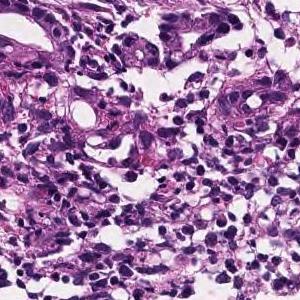
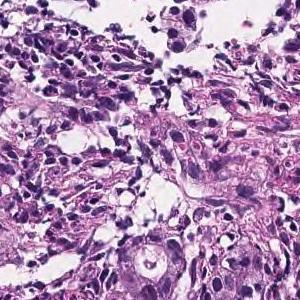
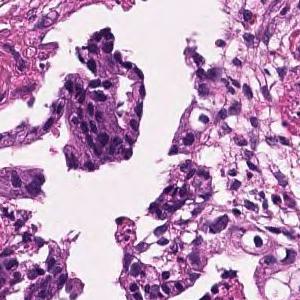
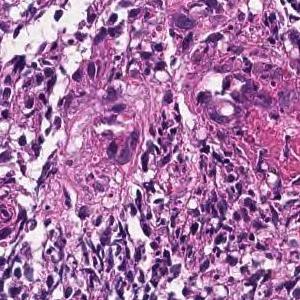
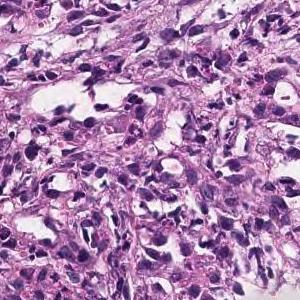
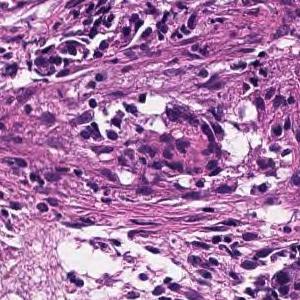
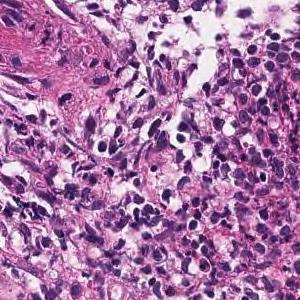
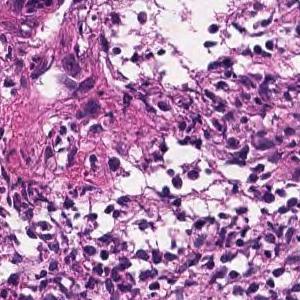
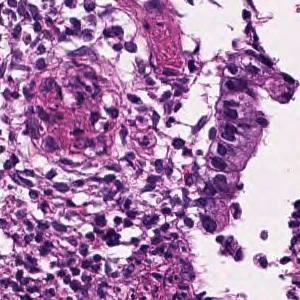
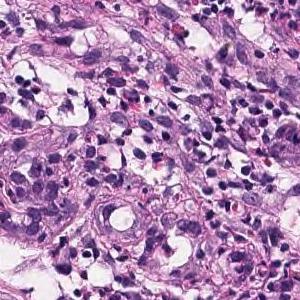
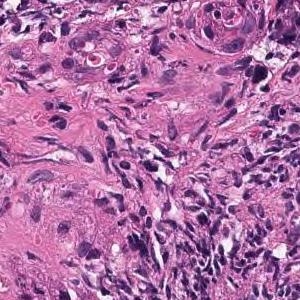
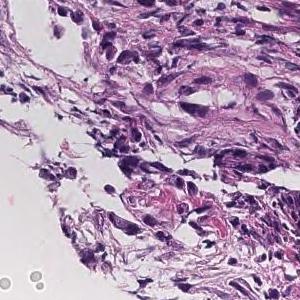
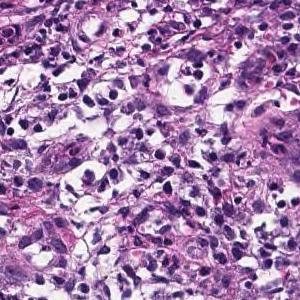
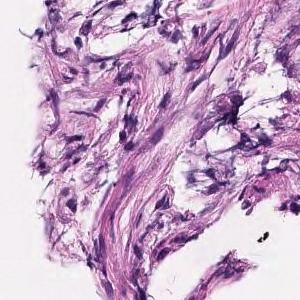
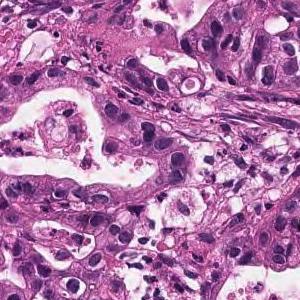
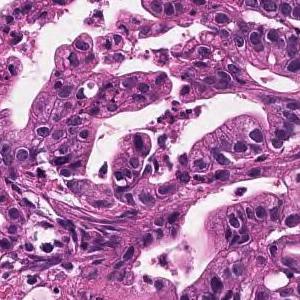
16 patches cut from one gastric biopsy slide; each 300 × 300 pixels; hematoxylin and eosin stain.
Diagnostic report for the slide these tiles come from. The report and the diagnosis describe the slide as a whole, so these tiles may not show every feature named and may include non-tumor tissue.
In the superficial epithelium, medium to small, irregular gland ducts are formed, and in some cases, the gland ducts are fused to show solid alveolar lesions and infiltrating tumor tissue is observed. Moderately to poorly differentiated adenocarcinoma.
